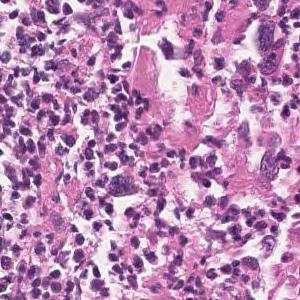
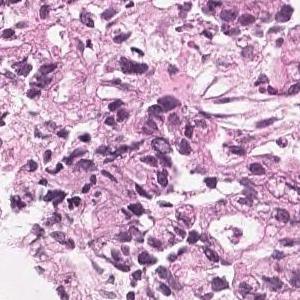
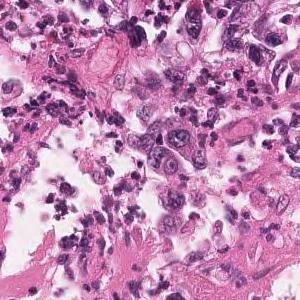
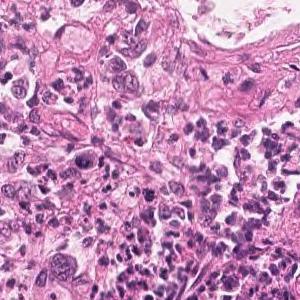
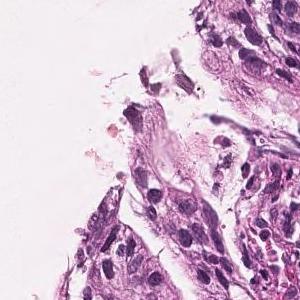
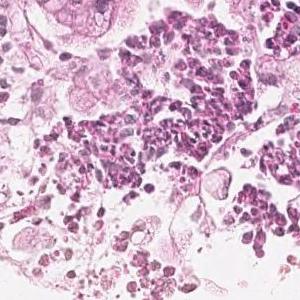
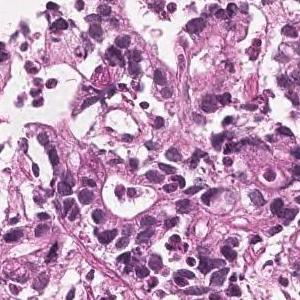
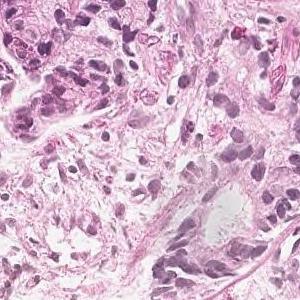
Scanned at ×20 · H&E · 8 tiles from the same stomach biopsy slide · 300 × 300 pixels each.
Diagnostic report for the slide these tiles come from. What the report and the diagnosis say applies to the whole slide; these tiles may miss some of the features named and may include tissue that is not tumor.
In the superficial epithelium, medium to small irregular gland ducts are formed, and in some cases, the ducts are fused to show solid alveolar lesions and infiltrating tumor tissue is observed. Moderately to poorly differentiated adenocarcinoma
